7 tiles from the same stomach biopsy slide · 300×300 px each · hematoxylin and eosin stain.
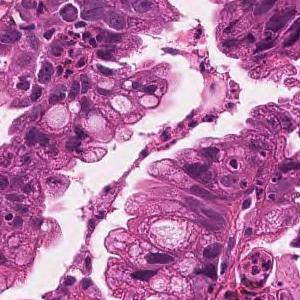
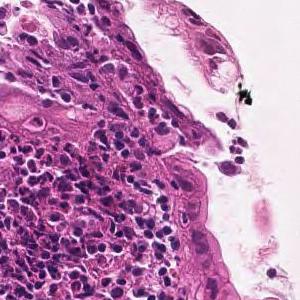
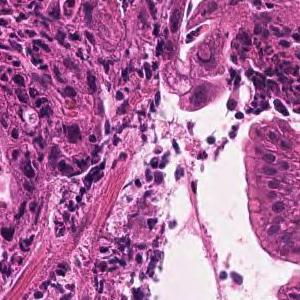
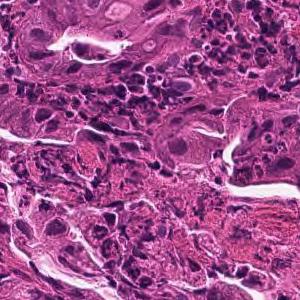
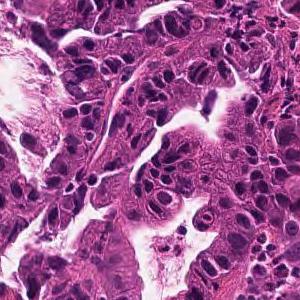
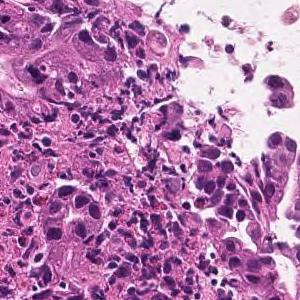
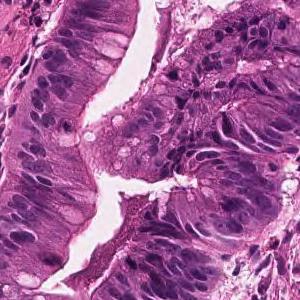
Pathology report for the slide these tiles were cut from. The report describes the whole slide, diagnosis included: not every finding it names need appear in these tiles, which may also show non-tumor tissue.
Medium to small, irregular glandular ducts are formed in the superficial epithelium, and in some cases, the glandular ducts are fused to show solid alveolar lesions and infiltrating tumor tissue is observed. Moderately to poorly differentiated adenocarcinoma.
